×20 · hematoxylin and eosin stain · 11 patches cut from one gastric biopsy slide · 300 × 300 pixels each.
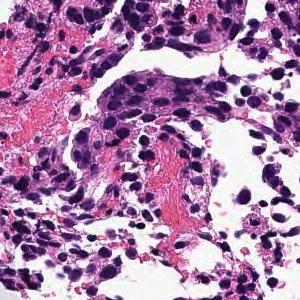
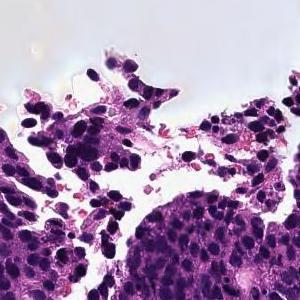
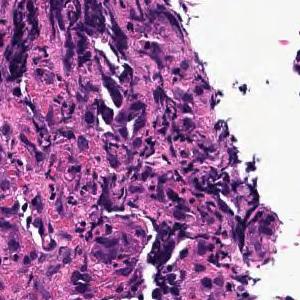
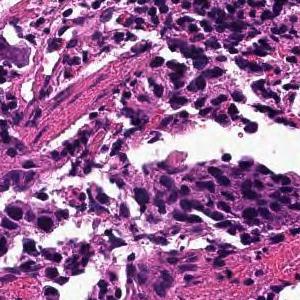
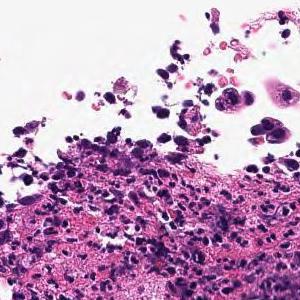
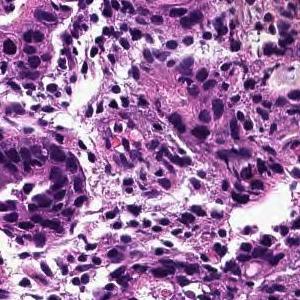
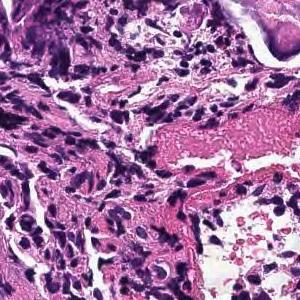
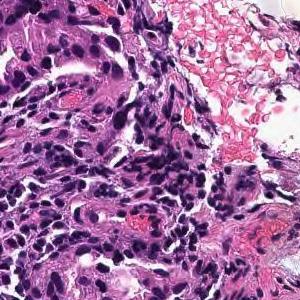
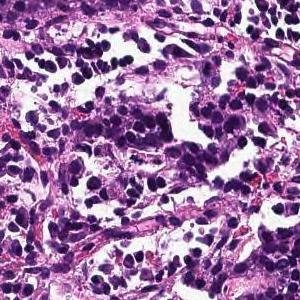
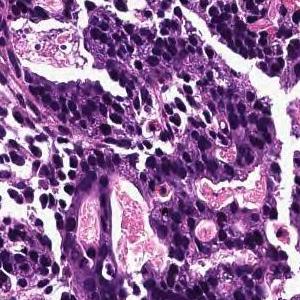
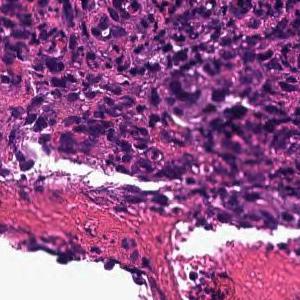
Pathology report for the biopsy slide these tiles were cut from. What the report and the diagnosis say applies to the whole slide; these tiles may miss some of the features named and may include tissue that is not tumor.
In the superficial epithelium, tumor tissue that invades by forming medium-sized to small, irregular ducts is observed. moderately differentiated tubular adenocarcinoma.
